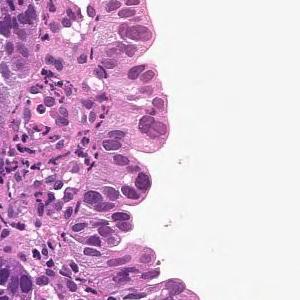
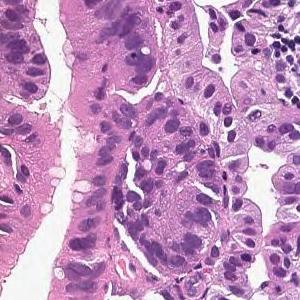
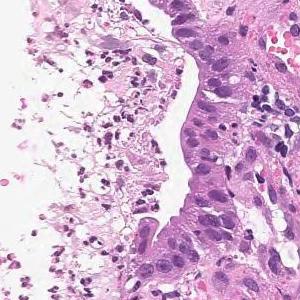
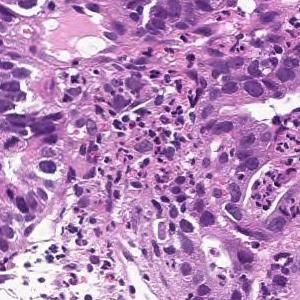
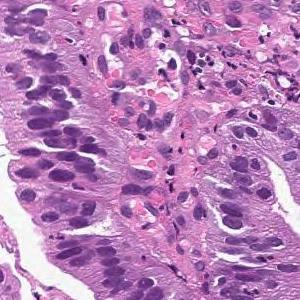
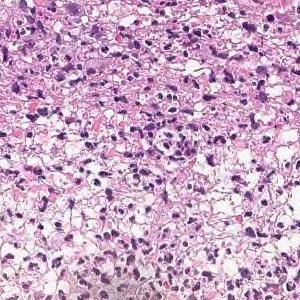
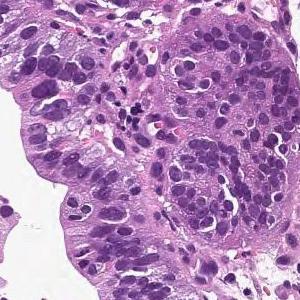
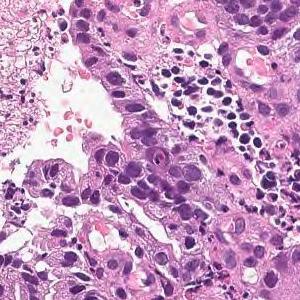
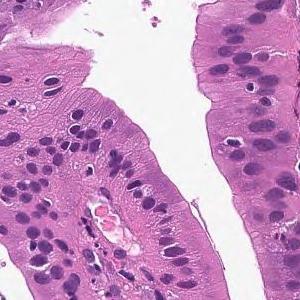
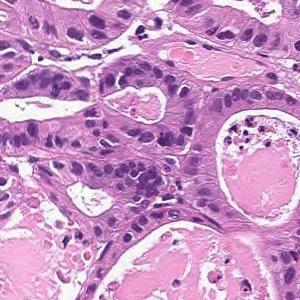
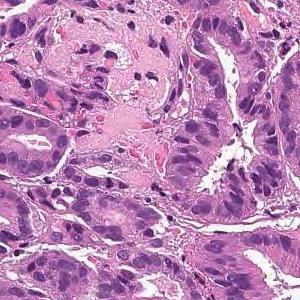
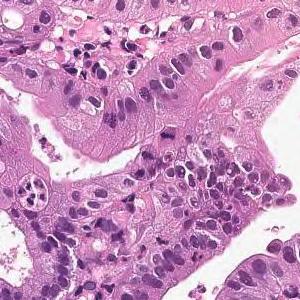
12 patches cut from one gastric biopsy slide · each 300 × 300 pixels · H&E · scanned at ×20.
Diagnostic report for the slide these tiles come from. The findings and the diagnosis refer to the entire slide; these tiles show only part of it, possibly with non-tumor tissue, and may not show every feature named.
From the superficial epithelium to the muscularis mucosae, tumor tissue consisting of medium-sized and irregular glandular ducts infiltrating is observed. Well differentiated tubular adenocarcinoma
